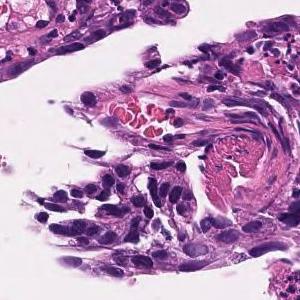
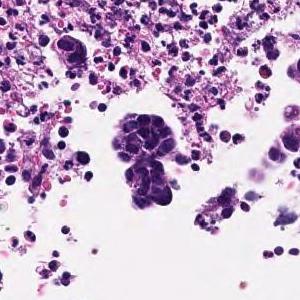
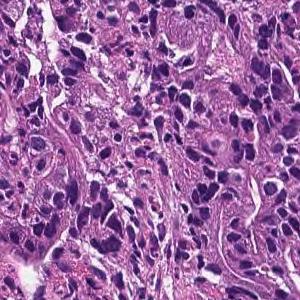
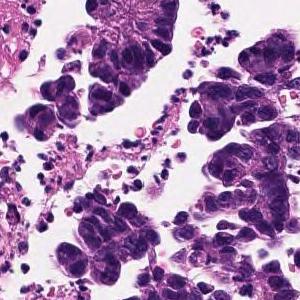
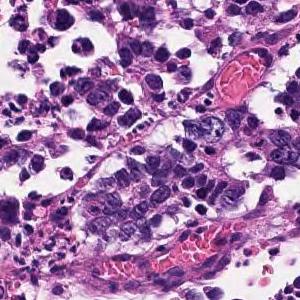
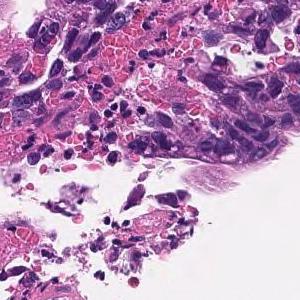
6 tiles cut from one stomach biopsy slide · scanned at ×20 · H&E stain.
Pathology report for the biopsy slide these tiles were cut from. The report and the diagnosis cover the entire slide, so not every feature they name need be visible here, and some tissue shown may not be tumor.
In the superficial epithelium, tumor tissue that invades by forming medium-sized to small, irregular ducts is observed. Moderately differentiated adenocarcinoma.
Tumor subtype: moderately differentiated tubular adenocarcinoma.
